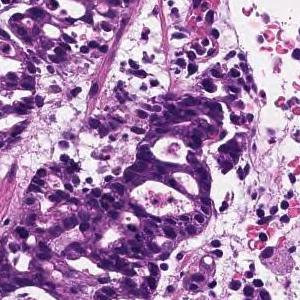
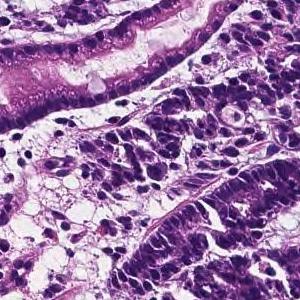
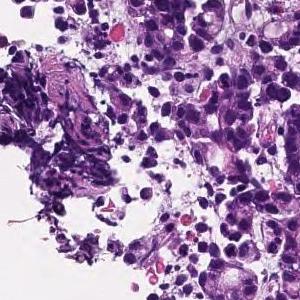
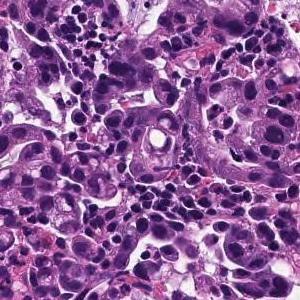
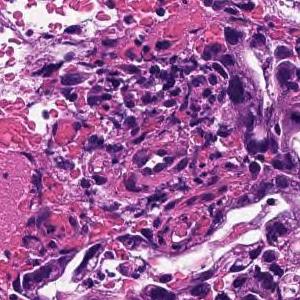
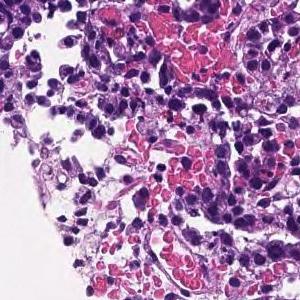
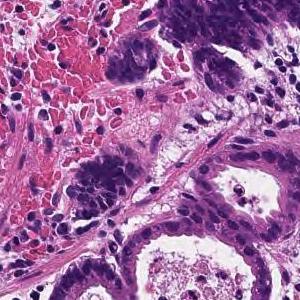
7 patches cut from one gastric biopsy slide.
Report on the slide these tiles come from. What the report and the diagnosis say applies to the whole slide; these tiles may miss some of the features named and may include tissue that is not tumor.
In the superficial epithelium, tumor tissue that invades by forming medium-sized to small, irregular ducts is observed. moderately differentiated tubular adenocarcinoma.
